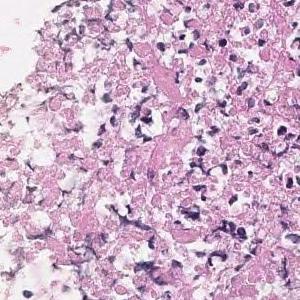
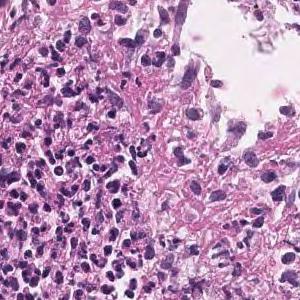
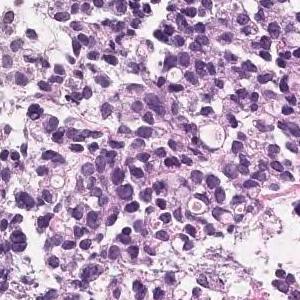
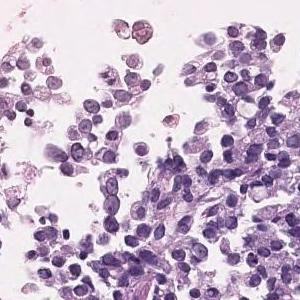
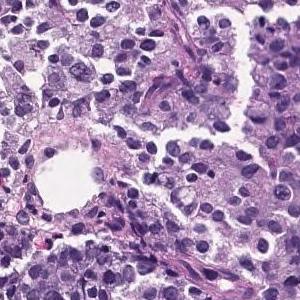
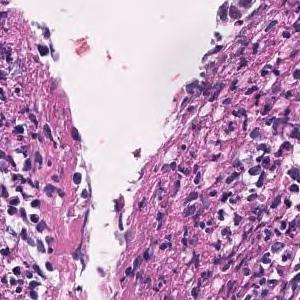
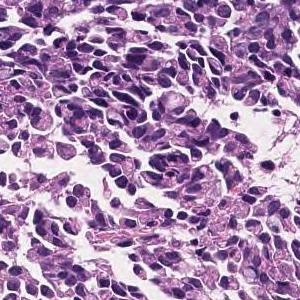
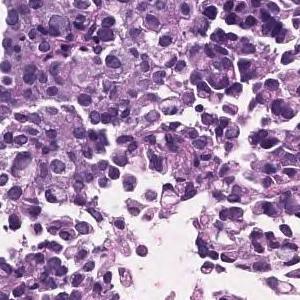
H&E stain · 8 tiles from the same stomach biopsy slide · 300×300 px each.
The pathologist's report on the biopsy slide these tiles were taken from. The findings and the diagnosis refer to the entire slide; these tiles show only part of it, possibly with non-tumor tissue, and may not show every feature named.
The superficial epithelium shows a large sheet-like shape, and some tumor tissue infiltrates with small irregular ducts. Poorly differentiated adenocarcinoma, solid-type
Tumor subtype: poorly differentiated adenocarcinoma, solid type. This name comes from the Japanese Classification of Gastric Carcinoma; the WHO 2019 classification calls it tubular adenocarcinoma, poorly differentiated.
